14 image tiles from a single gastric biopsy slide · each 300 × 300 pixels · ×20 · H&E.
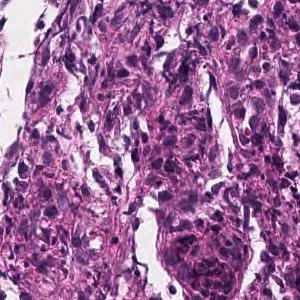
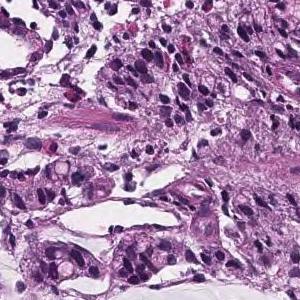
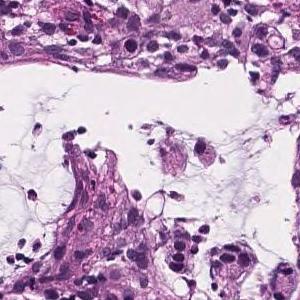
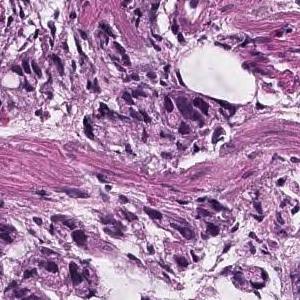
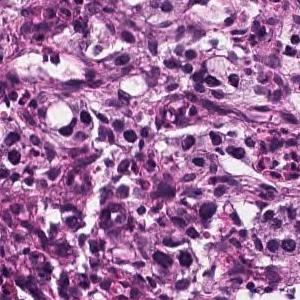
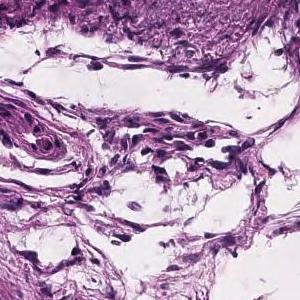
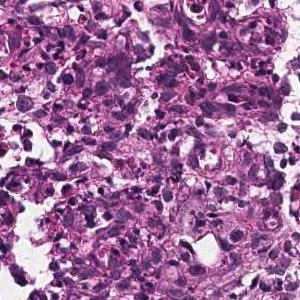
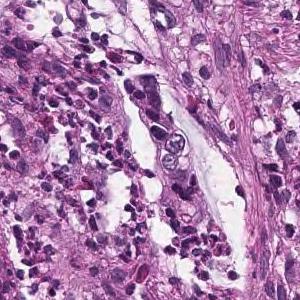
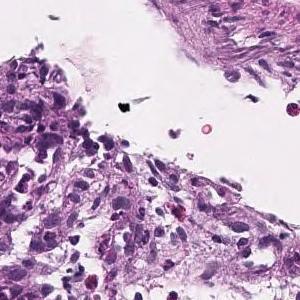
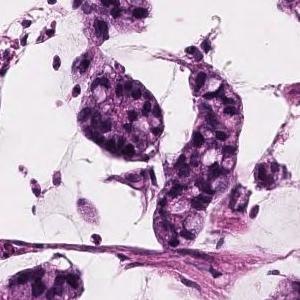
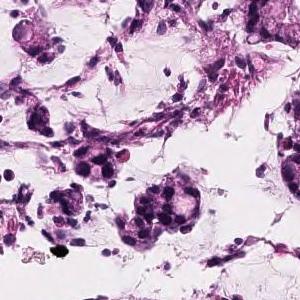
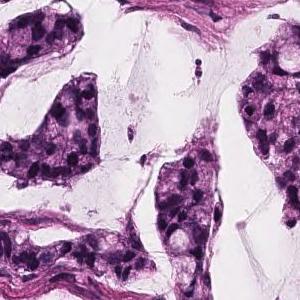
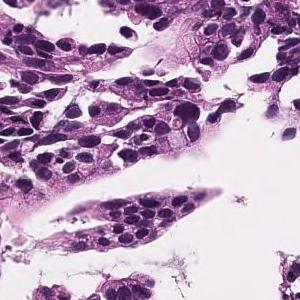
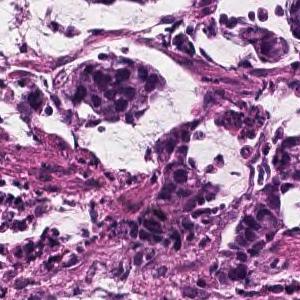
Pathology report for the biopsy slide these tiles were cut from. What the report and the diagnosis say applies to the whole slide; these tiles may miss some of the features named and may include tissue that is not tumor.
Atypical epithelial cells form obscure ductal structures or small solid follicles, and tumor tissue that proliferates invasively with proliferation of inflammatory granulation tissue is observed. Mucinous adenocarcinoma .
